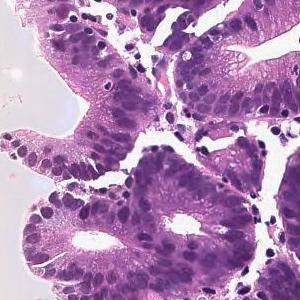
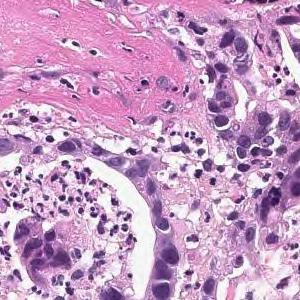
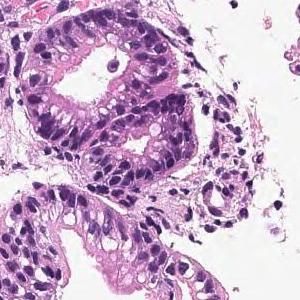
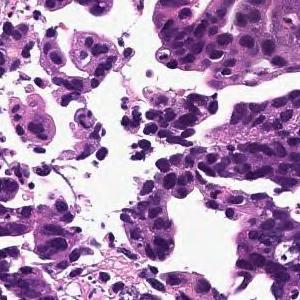
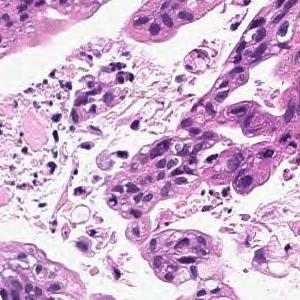
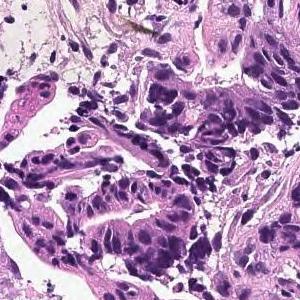
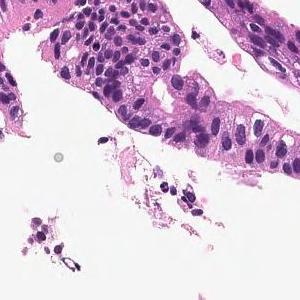
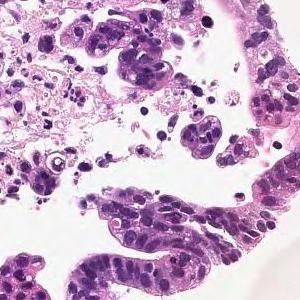
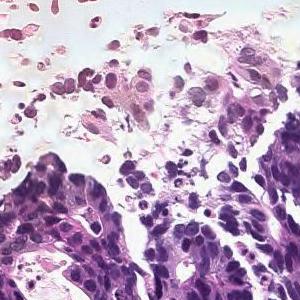
9 image tiles from a single gastric biopsy slide · each 300 × 300 pixels.
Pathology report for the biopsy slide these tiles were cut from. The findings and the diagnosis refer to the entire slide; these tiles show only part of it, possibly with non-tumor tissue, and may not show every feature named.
In the superficial epithelium, tumor tissue that invades by forming medium-sized to small, irregular ducts is observed. moderately differentiated tubular adenocarcinoma.
